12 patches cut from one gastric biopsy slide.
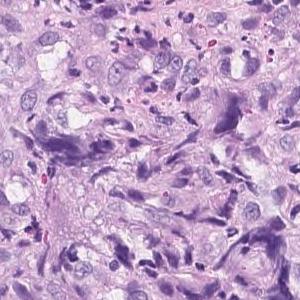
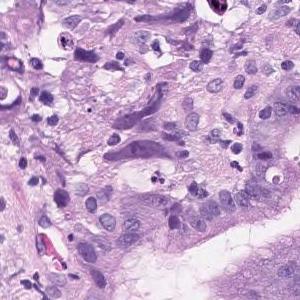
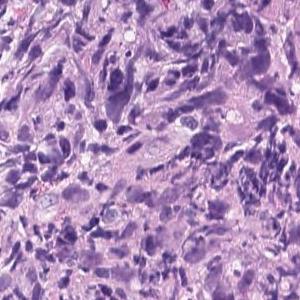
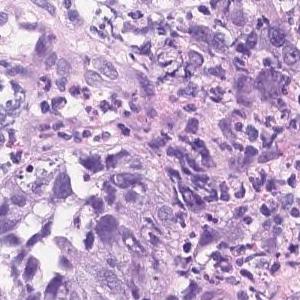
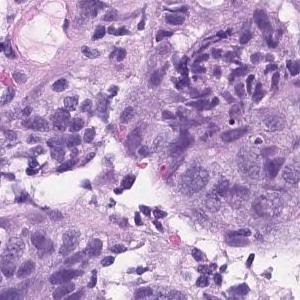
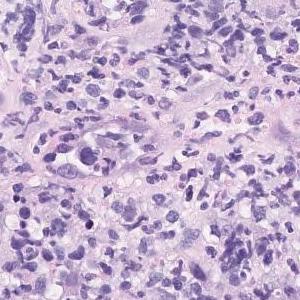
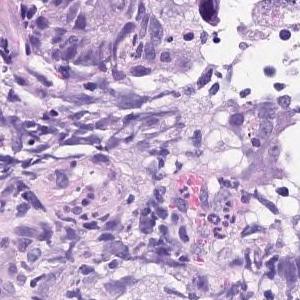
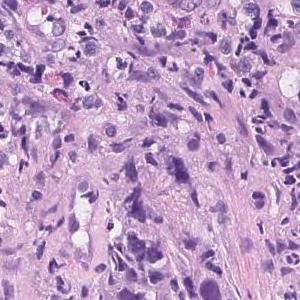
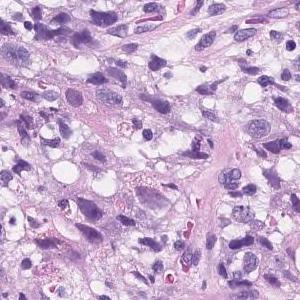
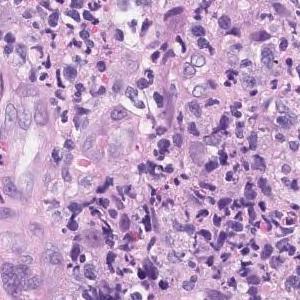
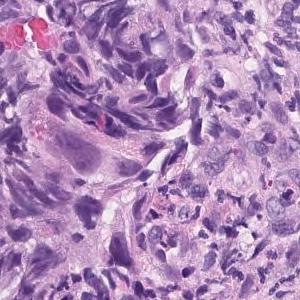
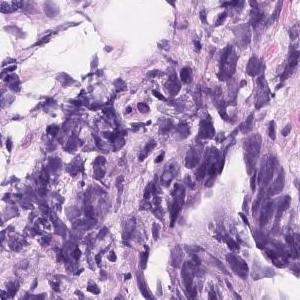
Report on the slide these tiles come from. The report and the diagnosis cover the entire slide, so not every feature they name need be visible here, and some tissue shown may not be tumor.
Atypical epithelial cells infiltrating and proliferating diffusely or while forming vesicles is observed. Poorly differentiated adenocarcinoma (poorly differentiated adenocarcinoma, solid type moderately differentiated tubular adenocarcinoma)
Labeled in the dataset as poorly differentiated adenocarcinoma, solid type (Japanese Classification of Gastric Carcinoma). The WHO 2019 equivalent is tubular adenocarcinoma, poorly differentiated.
